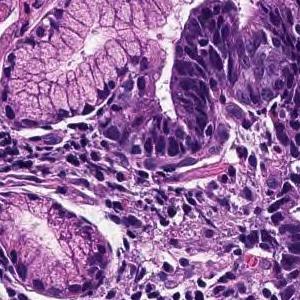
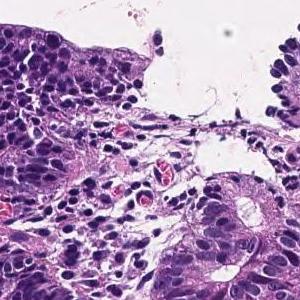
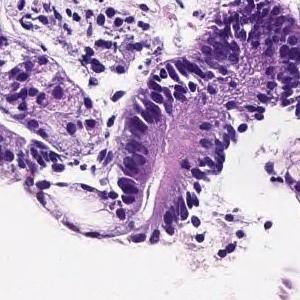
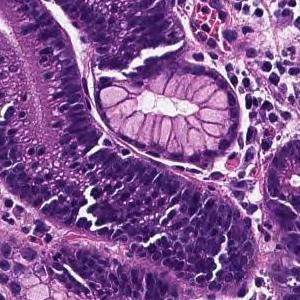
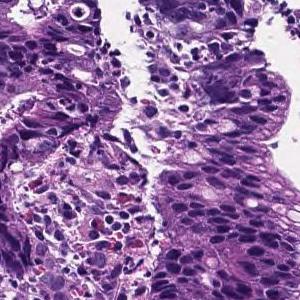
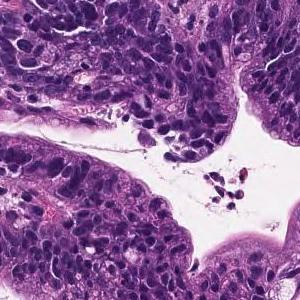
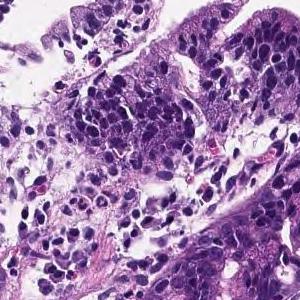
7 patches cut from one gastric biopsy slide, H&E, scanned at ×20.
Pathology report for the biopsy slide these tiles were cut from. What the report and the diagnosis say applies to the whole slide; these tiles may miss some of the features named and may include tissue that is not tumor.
From the superficial epithelium to the muscularis mucosae, tumor tissue consisting of medium-sized and irregular glandular ducts infiltrating is observed. Well differentiated tubular adenocarcinoma
